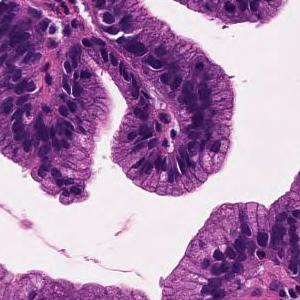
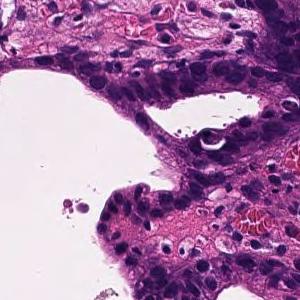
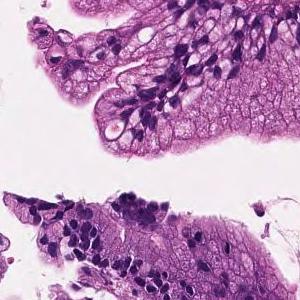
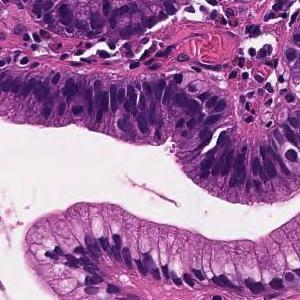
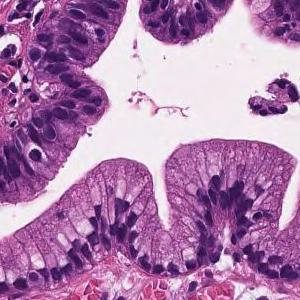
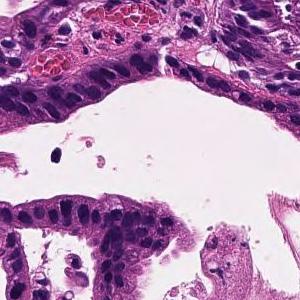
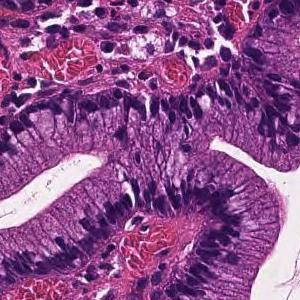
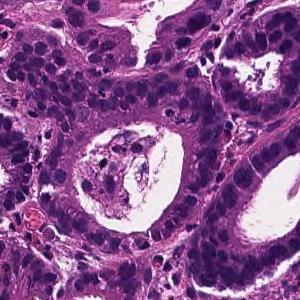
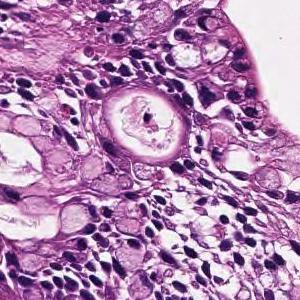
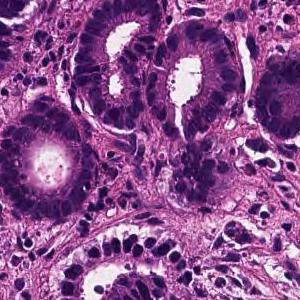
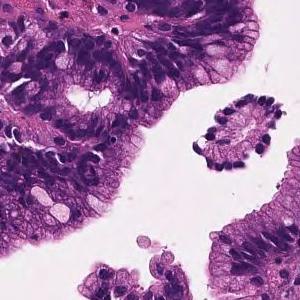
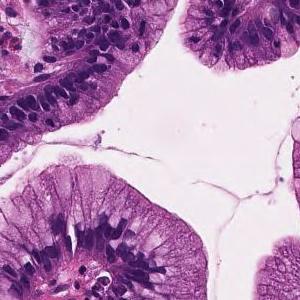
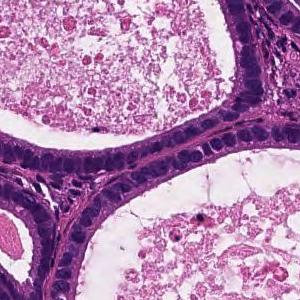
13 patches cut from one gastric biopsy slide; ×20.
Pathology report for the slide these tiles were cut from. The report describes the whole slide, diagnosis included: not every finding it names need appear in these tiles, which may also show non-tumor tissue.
On the superficial epithelium, tumor tissue consisting of medium-sized and irregular glandular ducts partially fused and infiltrated is observed. Well to moderately differentiated tubular adenocarcinoma (well differentiated tubular adenocarcinoma-moderately differentiated tubular adenocarcinoma)
Histologic type: Well to moderately differentiated tubular adenocarcinoma.
